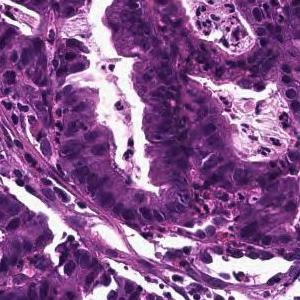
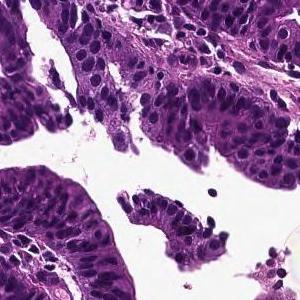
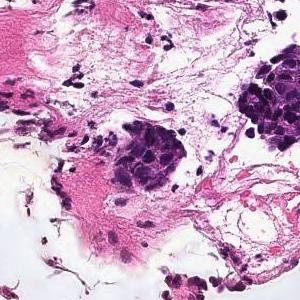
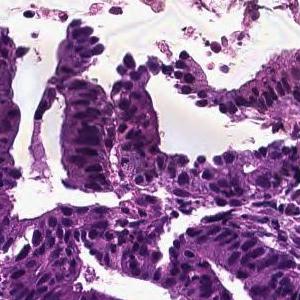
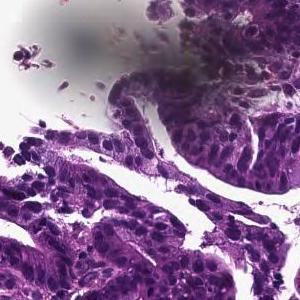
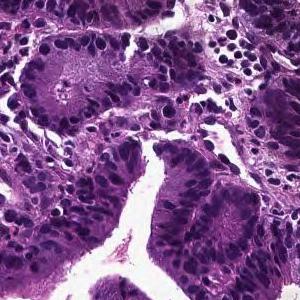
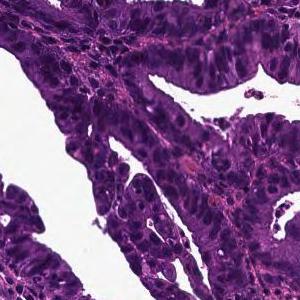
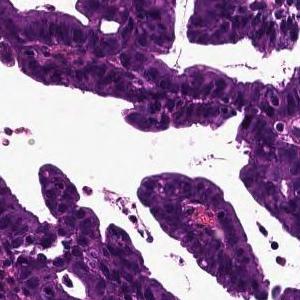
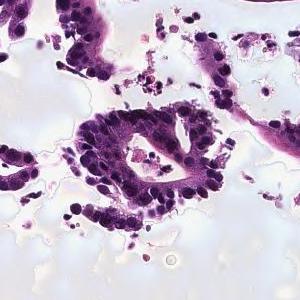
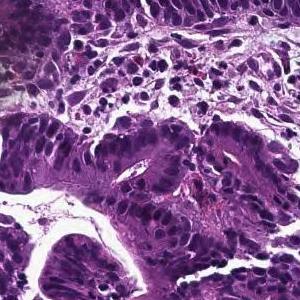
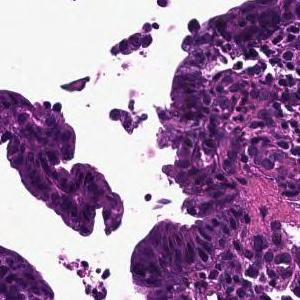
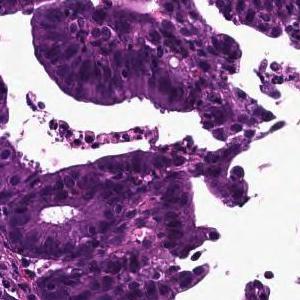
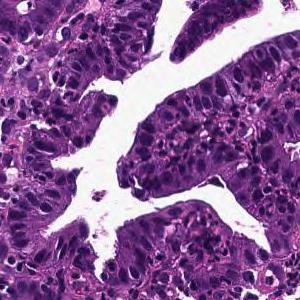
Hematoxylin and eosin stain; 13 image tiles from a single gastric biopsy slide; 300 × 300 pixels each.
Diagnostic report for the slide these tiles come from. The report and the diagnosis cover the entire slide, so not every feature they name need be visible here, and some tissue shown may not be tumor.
Tumor cells are large, highly columnar, large club-shaped nuclei, and are associated with chromatin aggregation. Papillary adenocarcinoma.
